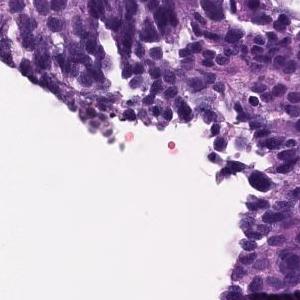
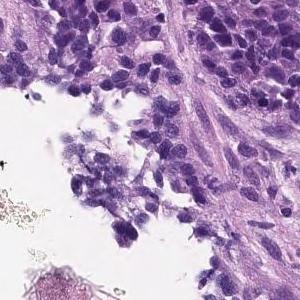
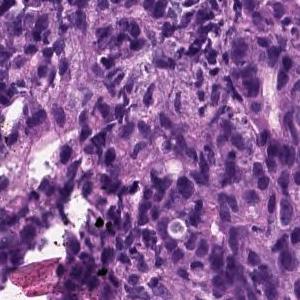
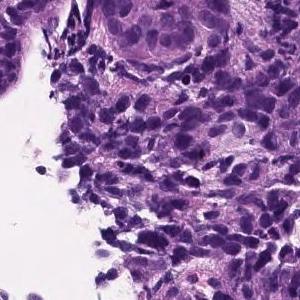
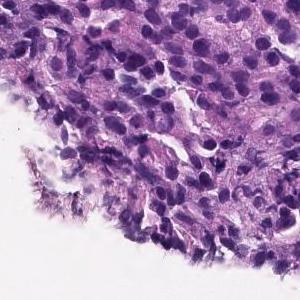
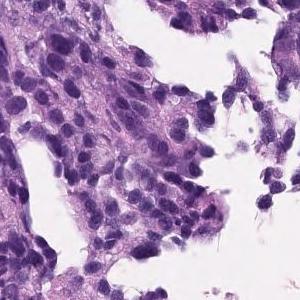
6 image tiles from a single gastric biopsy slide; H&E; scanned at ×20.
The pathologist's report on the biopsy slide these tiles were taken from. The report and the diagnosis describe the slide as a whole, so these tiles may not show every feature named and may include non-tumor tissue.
Group 5, Adenocarcinoma. Poorly differentiated adenocarcinoma, non-solid type
"Non-solid type" is a category of the Japanese Classification of Gastric Carcinoma.
